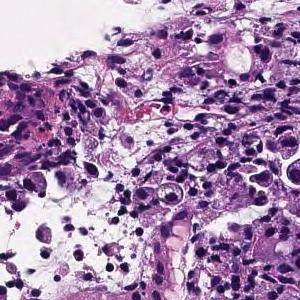
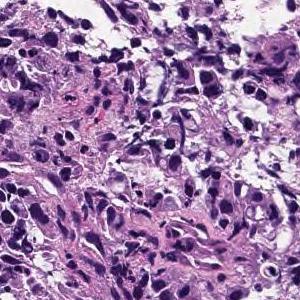
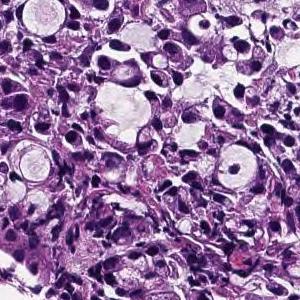
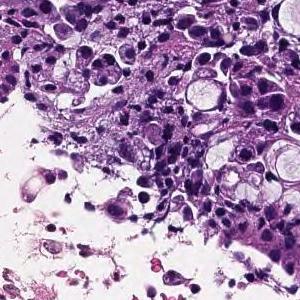
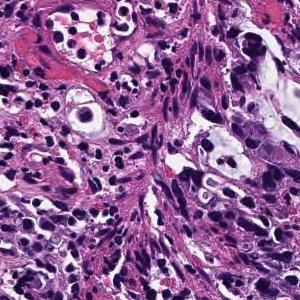
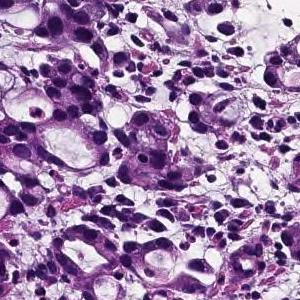
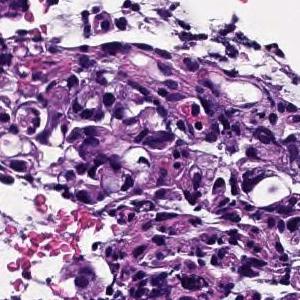
7 tiles from the same stomach biopsy slide.
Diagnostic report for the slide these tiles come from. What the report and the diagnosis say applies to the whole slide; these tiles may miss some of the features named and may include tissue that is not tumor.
Tumor tissue consisting of cord-like or small, irregular glandular ducts fused and infiltrated is observed in the superficial epithelium. Poorly differentiated adenocarcinoma, non-solid type
The term "non-solid type" comes from the Japanese Classification of Gastric Carcinoma.
